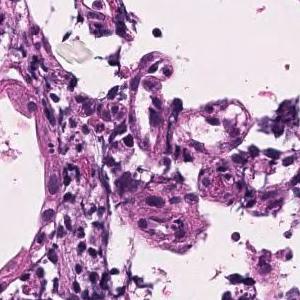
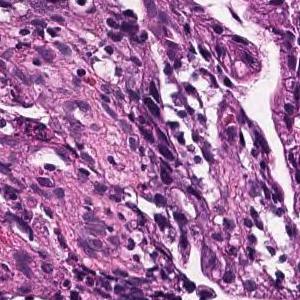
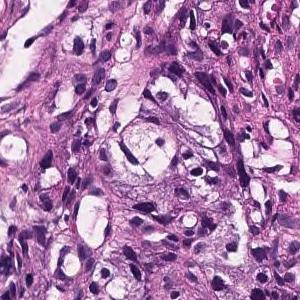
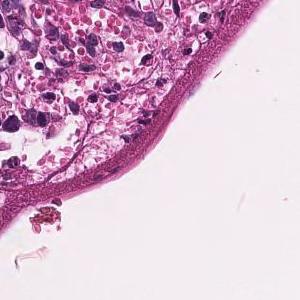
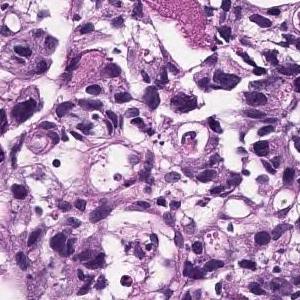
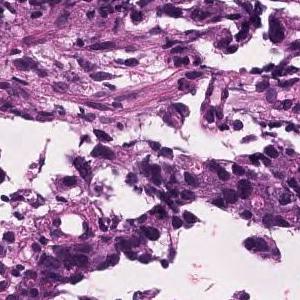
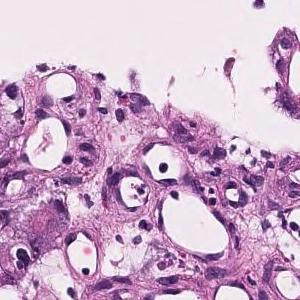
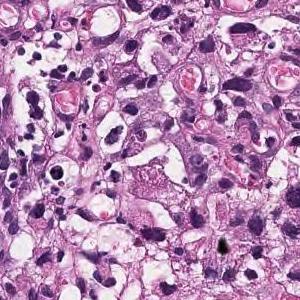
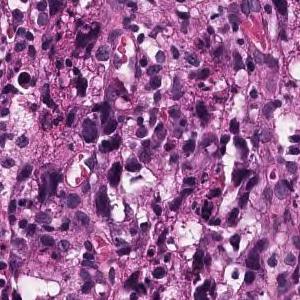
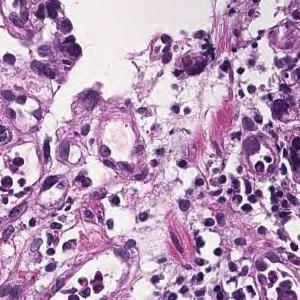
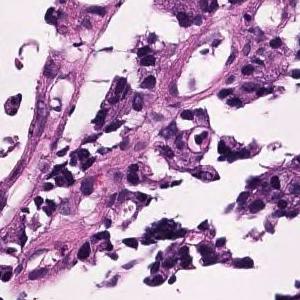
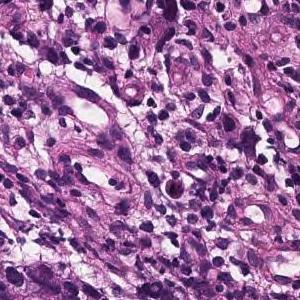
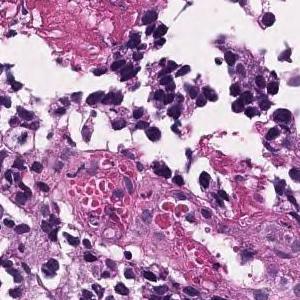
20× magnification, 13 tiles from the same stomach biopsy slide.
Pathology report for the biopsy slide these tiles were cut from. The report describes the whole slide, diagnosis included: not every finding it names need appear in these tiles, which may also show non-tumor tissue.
Tumor tissue consisting of medium-sized, cord-like or irregular glandular infiltration is observed in the superficial epithelium. Poorly differentiated adenocarcinoma, non-solid type or moderately differentiated tubular adenocarcinoma
The non-solid type named here is a Japanese Classification of Gastric Carcinoma category.
